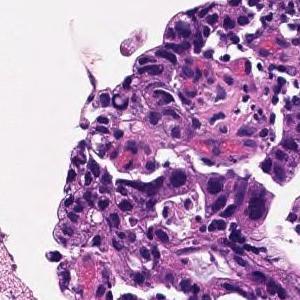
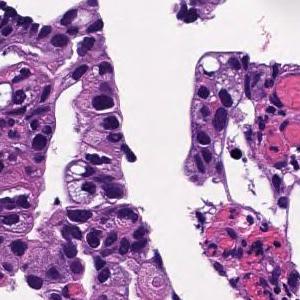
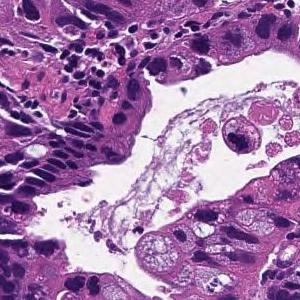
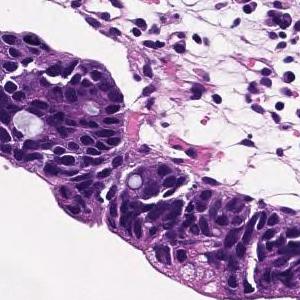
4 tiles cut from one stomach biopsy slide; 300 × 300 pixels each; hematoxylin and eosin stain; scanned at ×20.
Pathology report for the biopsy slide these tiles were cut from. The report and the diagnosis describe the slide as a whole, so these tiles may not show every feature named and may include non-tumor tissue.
In the superficial epithelium, tumor tissue that invades by forming medium-sized to small, irregular ducts is observed. moderately differentiated tubular adenocarcinoma.
